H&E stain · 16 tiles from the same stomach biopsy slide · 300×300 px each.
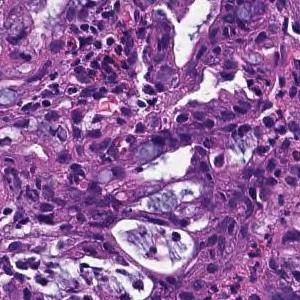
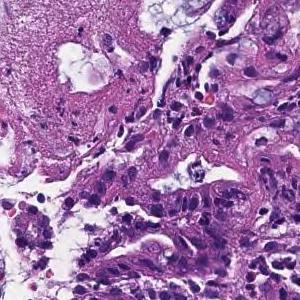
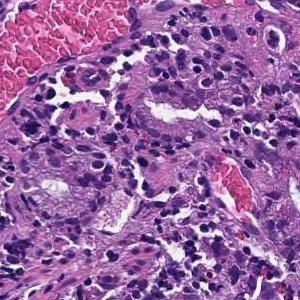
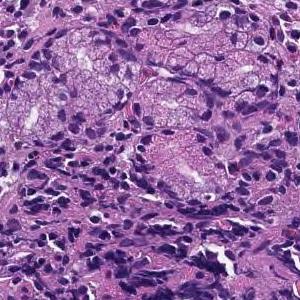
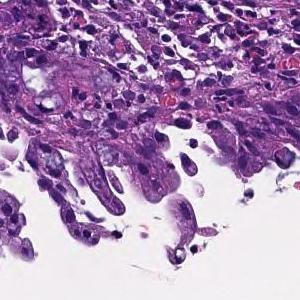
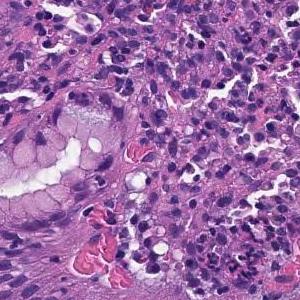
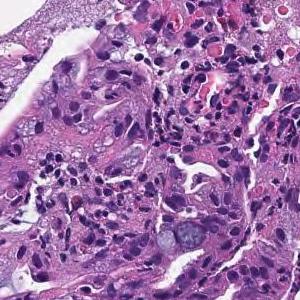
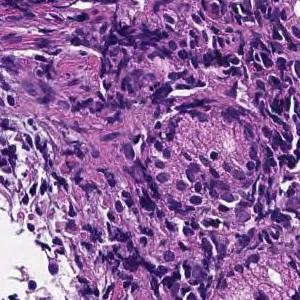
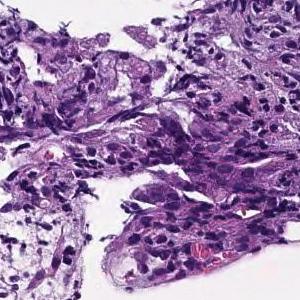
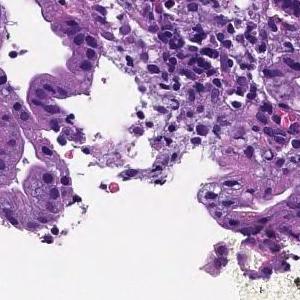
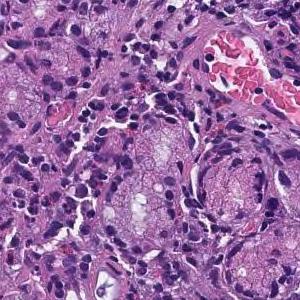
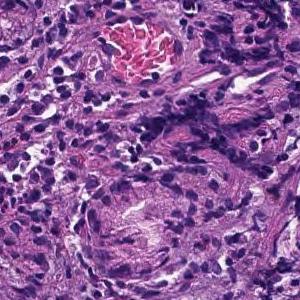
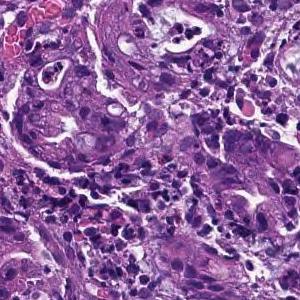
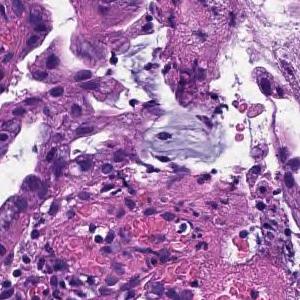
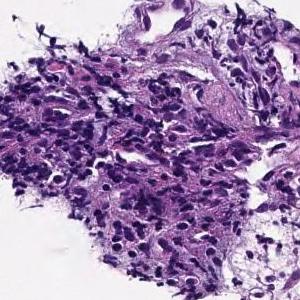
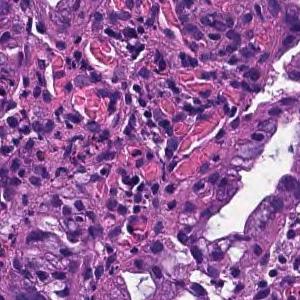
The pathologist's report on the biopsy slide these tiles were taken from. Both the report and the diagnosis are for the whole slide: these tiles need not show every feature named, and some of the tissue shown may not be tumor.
In the superficial epithelium, tumor tissue that invades by forming medium-sized to small, irregular ducts is observed. moderately differentiated tubular adenocarcinoma.
